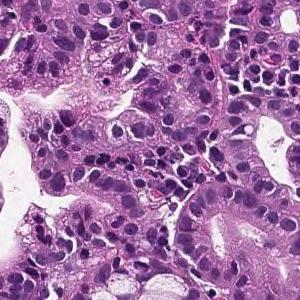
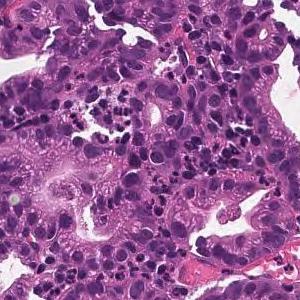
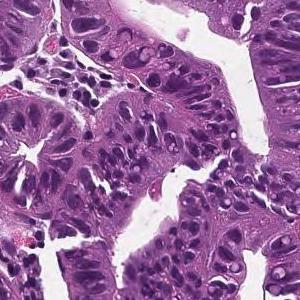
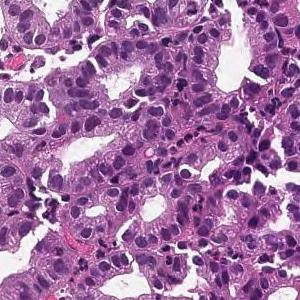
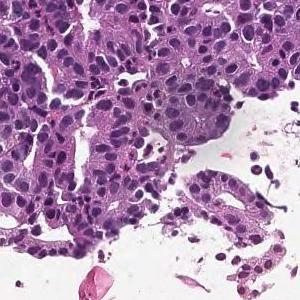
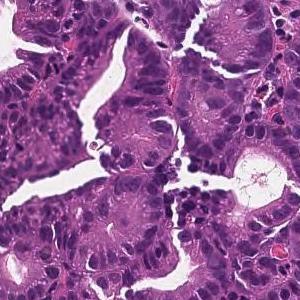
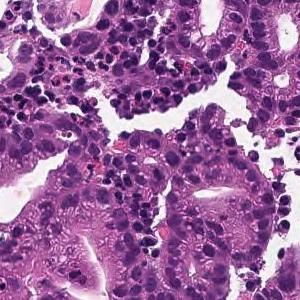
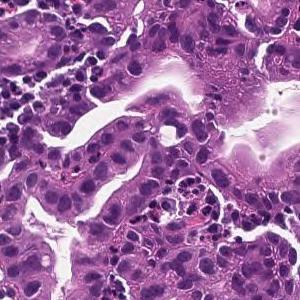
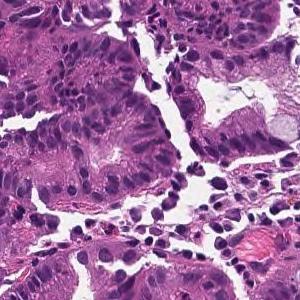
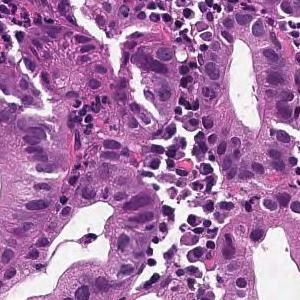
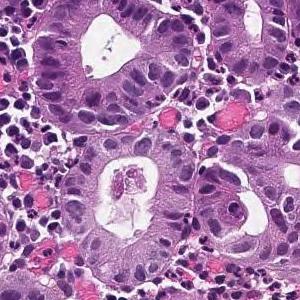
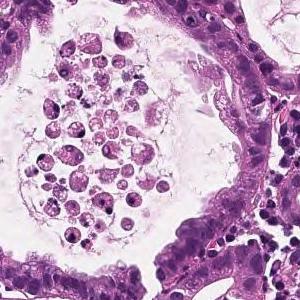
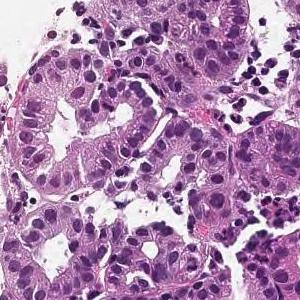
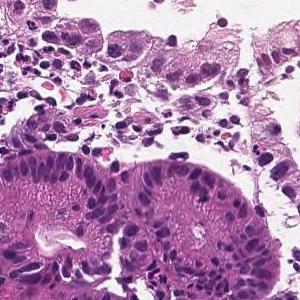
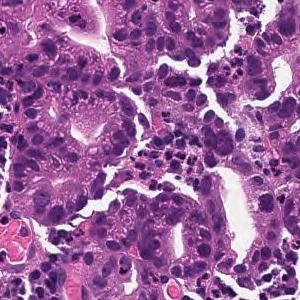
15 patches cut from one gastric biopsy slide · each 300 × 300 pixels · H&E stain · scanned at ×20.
Pathology report for the slide these tiles were cut from. The report and the diagnosis describe the slide as a whole, so these tiles may not show every feature named and may include non-tumor tissue.
From the superficial epithelium to the muscularis mucosae, tumor tissue consisting of medium-sized and irregular glandular ducts infiltrating is observed. Well differentiated tubular adenocarcinoma
